7 tiles cut from one stomach biopsy slide, scanned at ×20, H&E.
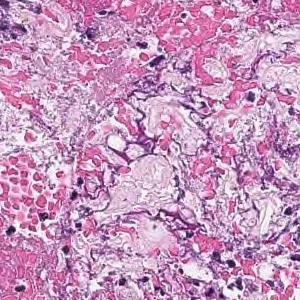
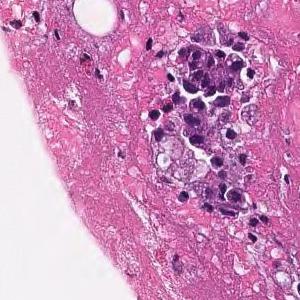
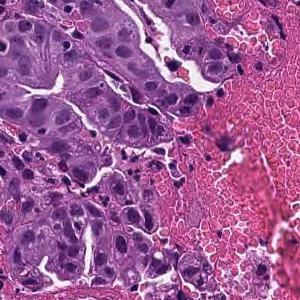
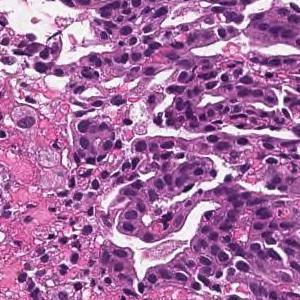
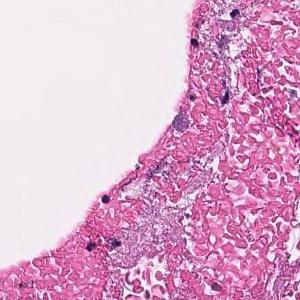
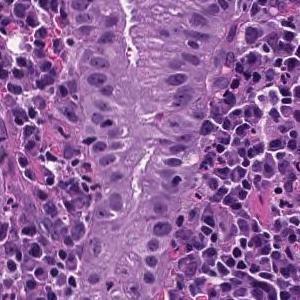
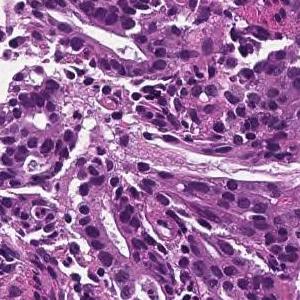
Diagnostic report for the slide these tiles come from. Both the report and the diagnosis are for the whole slide: these tiles need not show every feature named, and some of the tissue shown may not be tumor.
On the superficial epithelium, tumor tissue that infiltrates by forming medium-sized papillary or small irregular ducts is observed. Papillary adenocarcinoma
